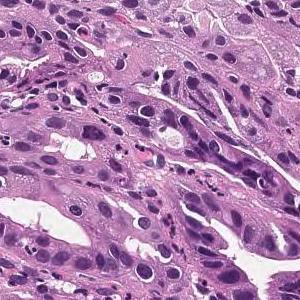
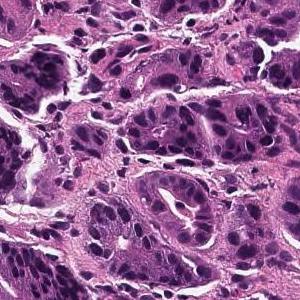
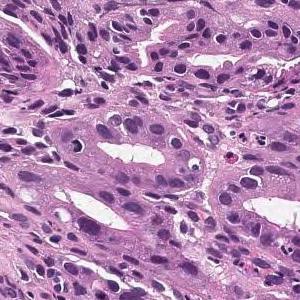
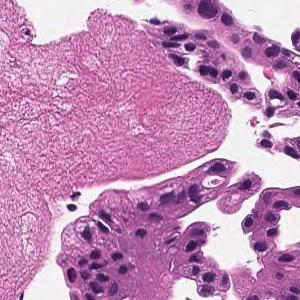
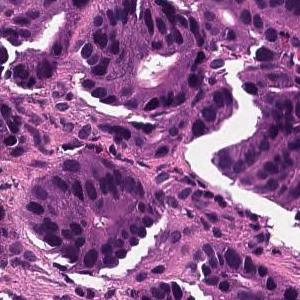
H&E · ×20 · 5 tiles from the same stomach biopsy slide · each 300 × 300 pixels.
The pathologist's report on the biopsy slide these tiles were taken from. The report and the diagnosis cover the entire slide, so not every feature they name need be visible here, and some tissue shown may not be tumor.
From the superficial epithelium to the muscularis mucosae, tumor tissue consisting of medium-sized and irregular glandular ducts infiltrating is observed. Well differentiated tubular adenocarcinoma
